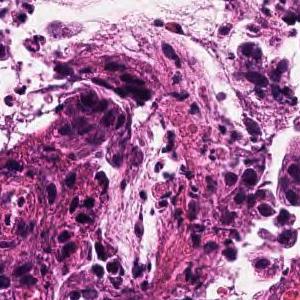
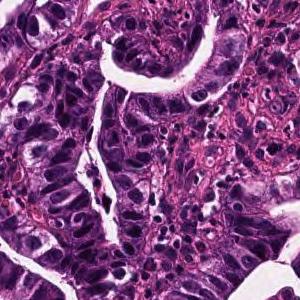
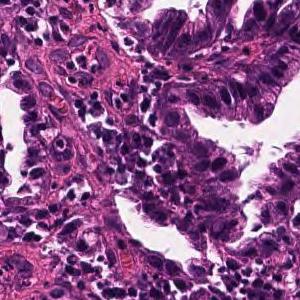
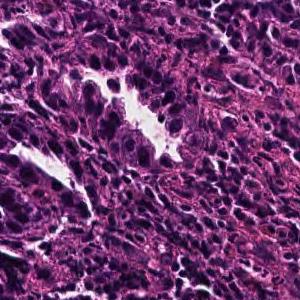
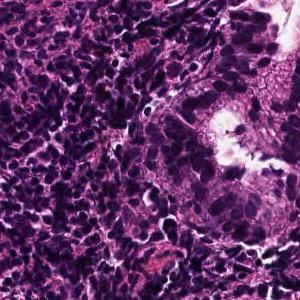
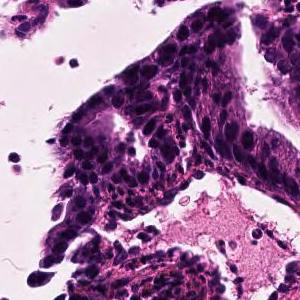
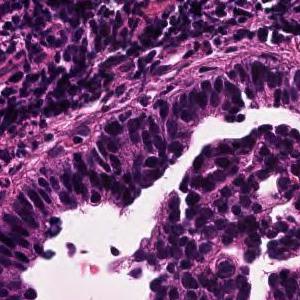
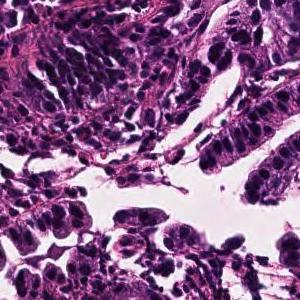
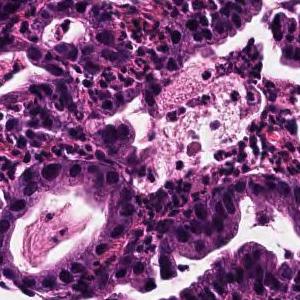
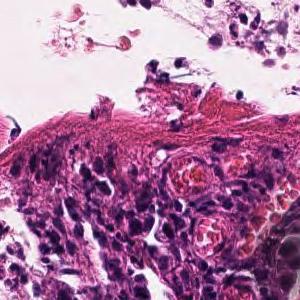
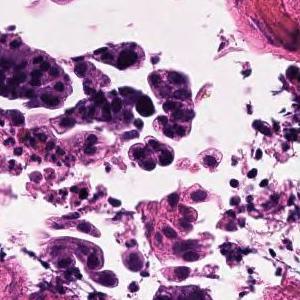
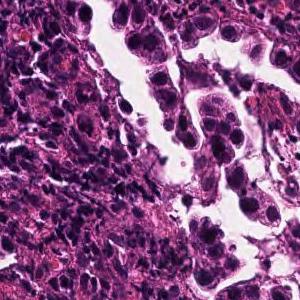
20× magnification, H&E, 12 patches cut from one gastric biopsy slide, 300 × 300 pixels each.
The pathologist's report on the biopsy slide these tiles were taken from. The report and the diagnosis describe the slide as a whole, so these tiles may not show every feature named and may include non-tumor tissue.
Tumor tissue consisting of large papillary structures is found in the superficial epithelium. Papillary adenocarcinoma.
